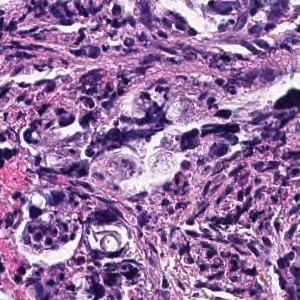
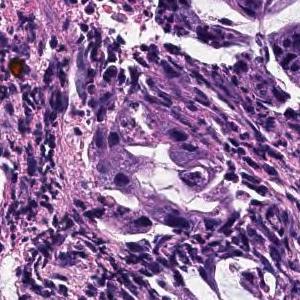
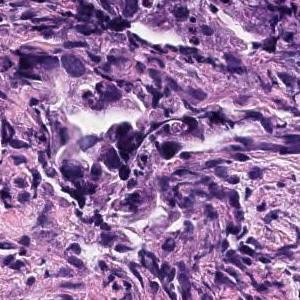
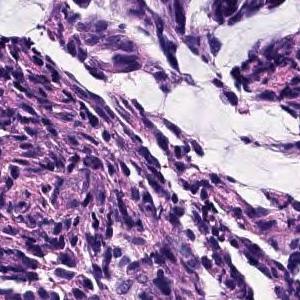
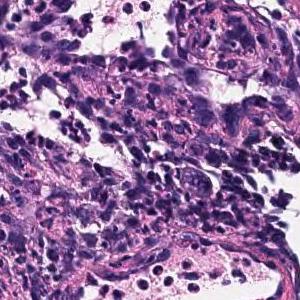
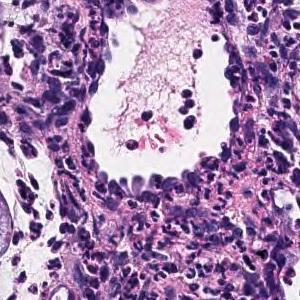
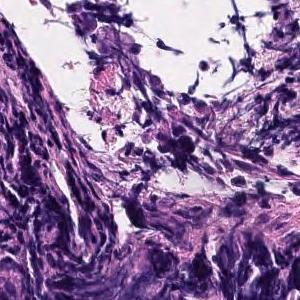
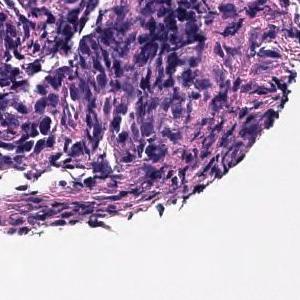
8 tiles from the same stomach biopsy slide, H&E, ×20.
Diagnostic report for the slide these tiles come from. The report and the diagnosis cover the entire slide, so not every feature they name need be visible here, and some tissue shown may not be tumor.
The superficial epithelium shows small cord-like infiltrating tumor tissue. Some part of neoplastic cells are signet ring cell type which show single invasion manner. Poorly differentiated adenocarcinoma, non-solid type.
"Non-solid type" is a category of the Japanese Classification of Gastric Carcinoma.
